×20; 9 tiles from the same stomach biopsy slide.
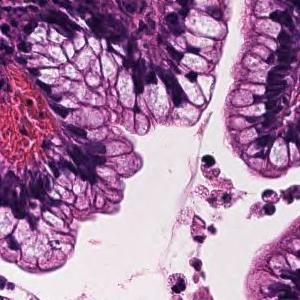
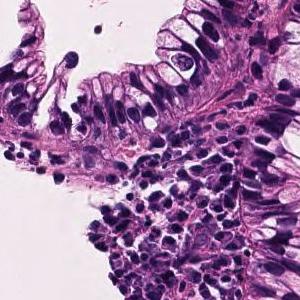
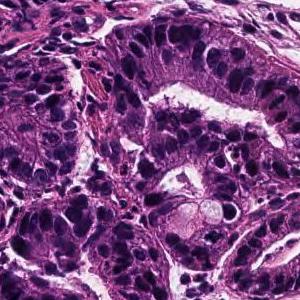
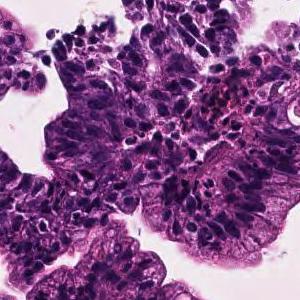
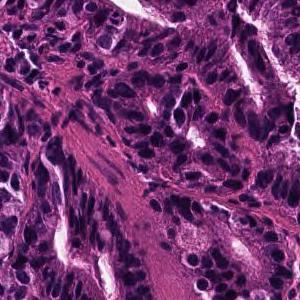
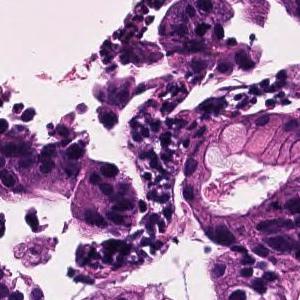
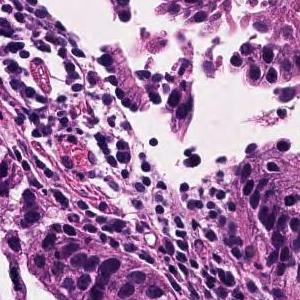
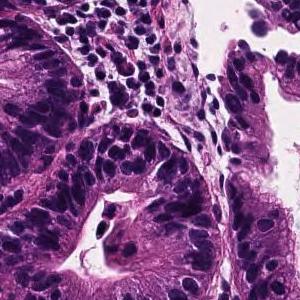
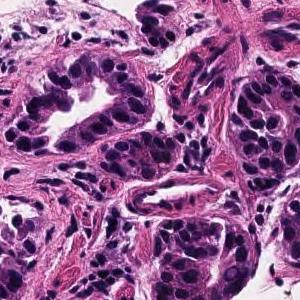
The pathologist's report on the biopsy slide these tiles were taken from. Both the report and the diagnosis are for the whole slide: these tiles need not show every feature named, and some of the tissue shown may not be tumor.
Tumor cells are large, highly columnar, large club-shaped nuclei, and are associated with chromatin aggregation. Papillary adenocarcinoma.
